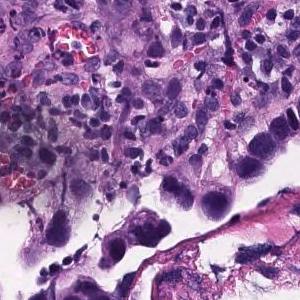
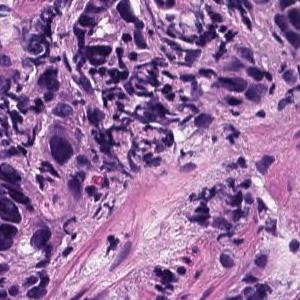
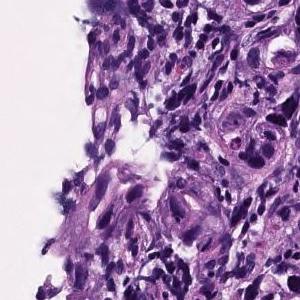
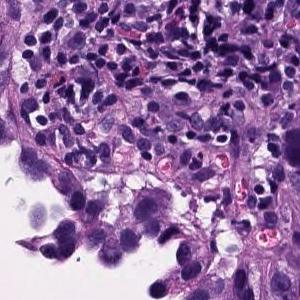
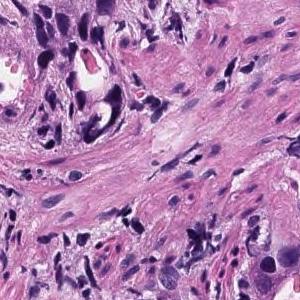
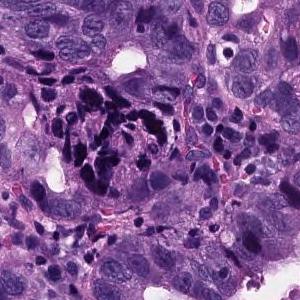
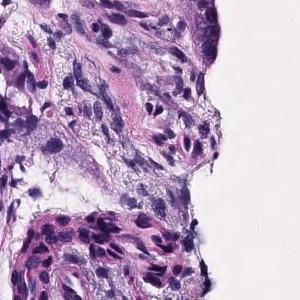
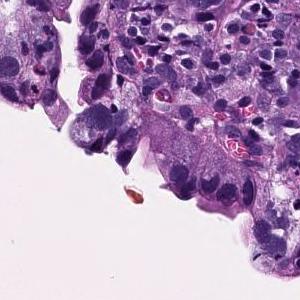
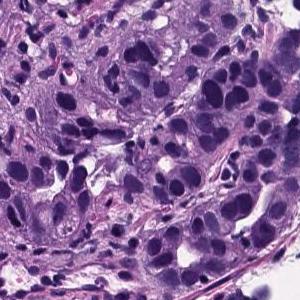
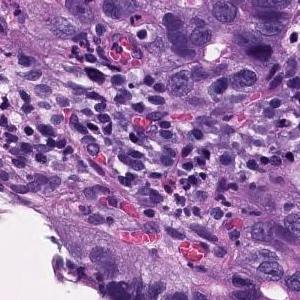
H&E stain, 10 image tiles from a single gastric biopsy slide, 300 × 300 pixels each.
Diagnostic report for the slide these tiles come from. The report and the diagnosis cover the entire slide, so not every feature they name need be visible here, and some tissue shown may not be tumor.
In the epithelium, tumor tissue in which medium to small irregular gland ducts fuse with each other and infiltrate the submucosa. moderately differentiated tubular adenocarcinoma
